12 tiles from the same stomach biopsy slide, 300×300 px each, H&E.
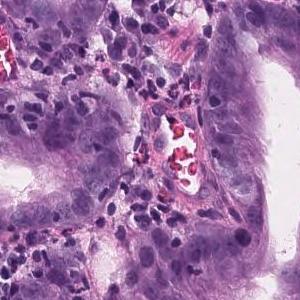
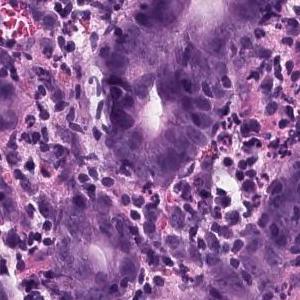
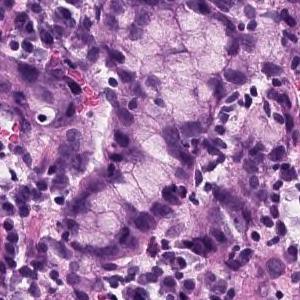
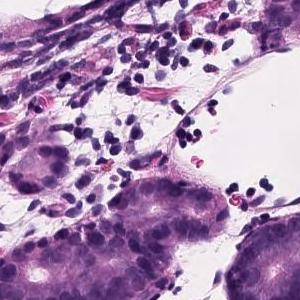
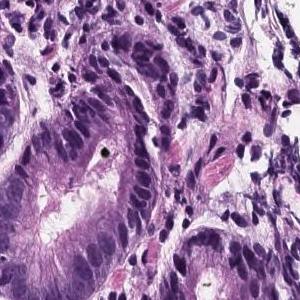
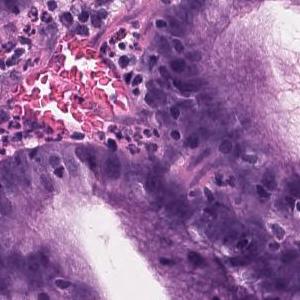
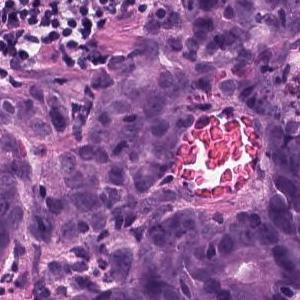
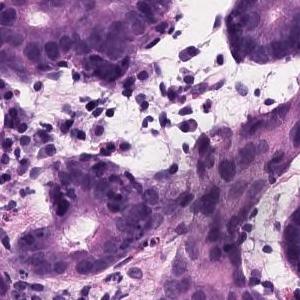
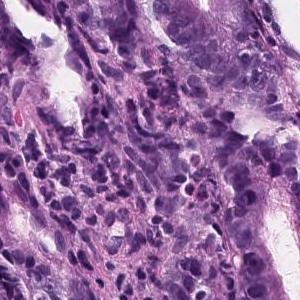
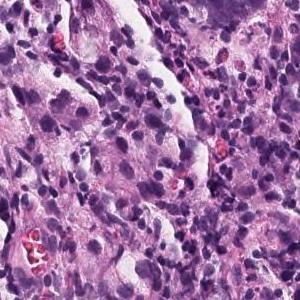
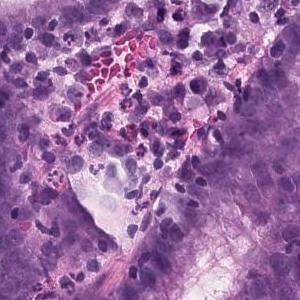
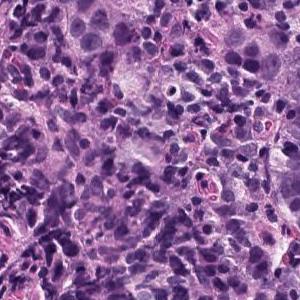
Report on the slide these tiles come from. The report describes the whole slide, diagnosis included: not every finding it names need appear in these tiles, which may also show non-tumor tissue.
In the superficial epithelium, tumor tissue that invades by forming medium-sized to small, irregular ducts is observed. Moderately differentiated adenocarcinoma.
Subtype: Moderately differentiated tubular adenocarcinoma.
